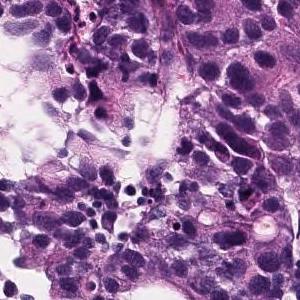
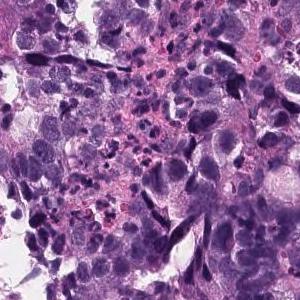
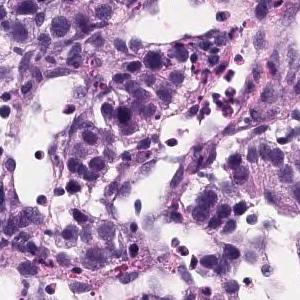
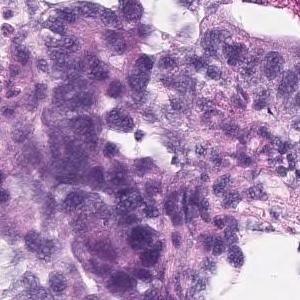
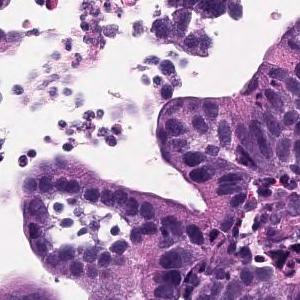
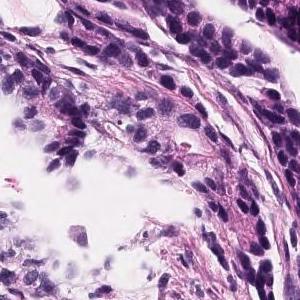
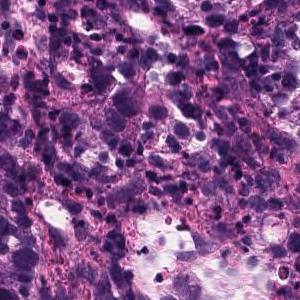
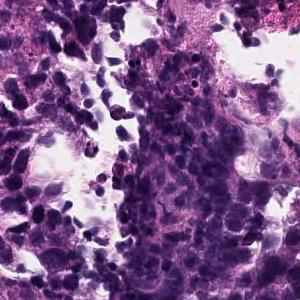
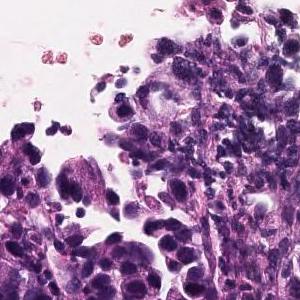
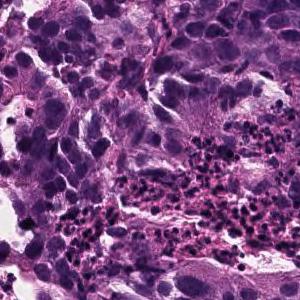
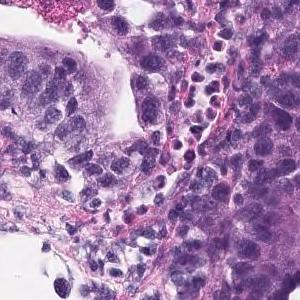
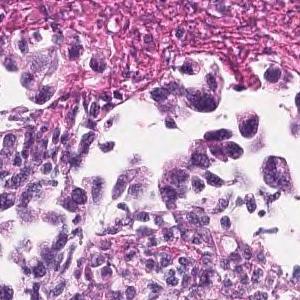
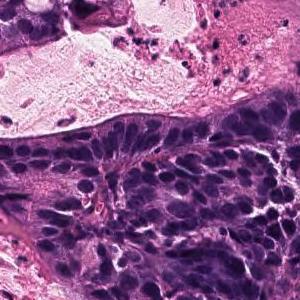
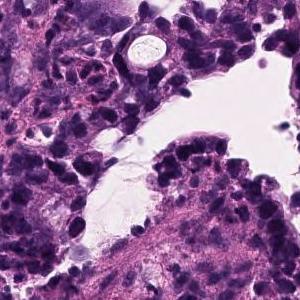
20× magnification; H&E; 14 patches cut from one gastric biopsy slide; each 300 × 300 pixels.
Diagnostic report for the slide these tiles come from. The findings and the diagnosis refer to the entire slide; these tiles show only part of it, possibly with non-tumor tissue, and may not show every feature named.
In the superficial epithelium, tumor tissue that invades by forming medium-sized to small, irregular ducts is observed. moderately differentiated tubular adenocarcinoma.
